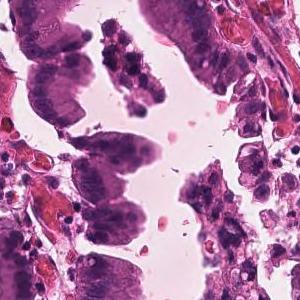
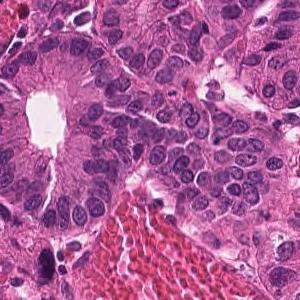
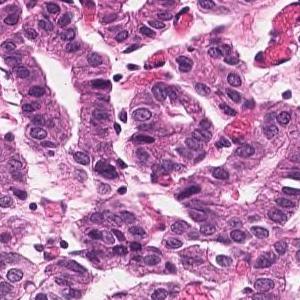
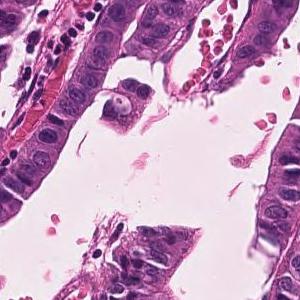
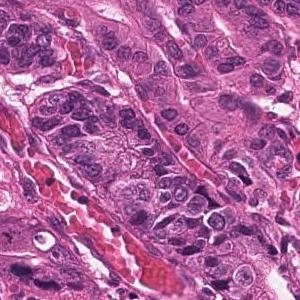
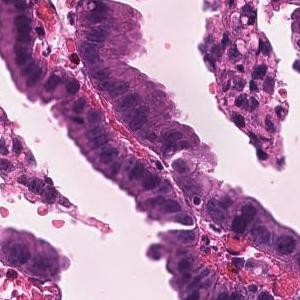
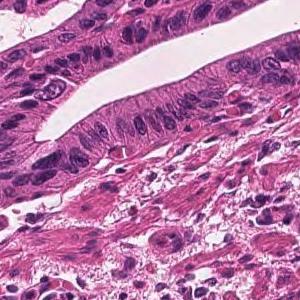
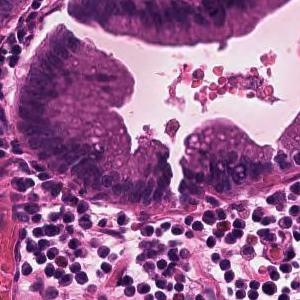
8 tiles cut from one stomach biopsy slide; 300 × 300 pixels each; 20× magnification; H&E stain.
Report on the slide these tiles come from. The report and the diagnosis describe the slide as a whole, so these tiles may not show every feature named and may include non-tumor tissue.
Infiltrating tumor tissue with medium-sized, irregular ductal structure or large papillary appearance is observed. Well differentiated tubular adenocarcinoma
